8 patches cut from one gastric biopsy slide · ×20 · H&E stain.
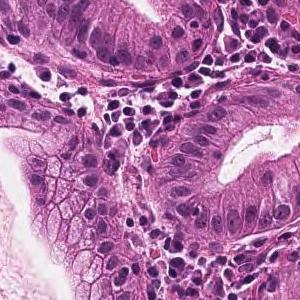
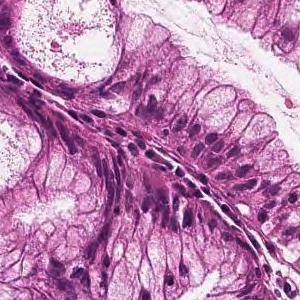
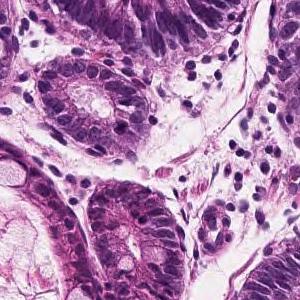
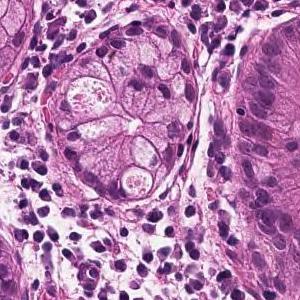
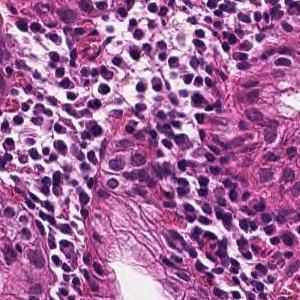
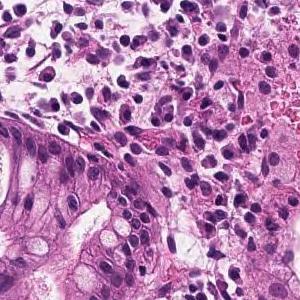
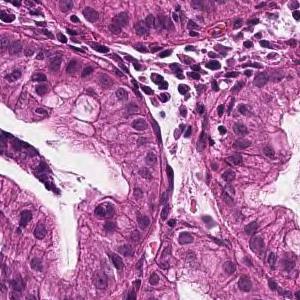
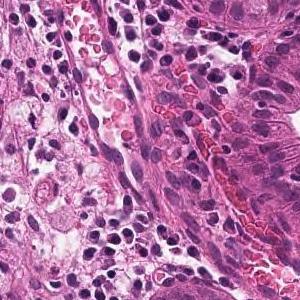
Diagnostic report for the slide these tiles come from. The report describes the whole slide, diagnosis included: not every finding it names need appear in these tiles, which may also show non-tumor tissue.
In the superficial epithelium, tumor tissue that invades by forming medium-sized to small, irregular ducts is observed. Well differentiated tubular adenocarcinoma.
